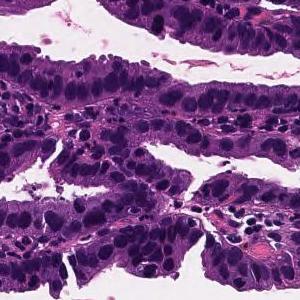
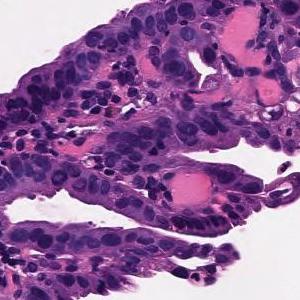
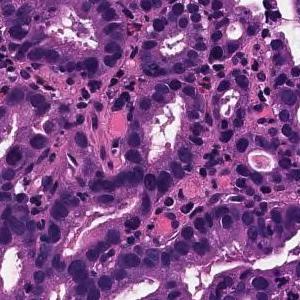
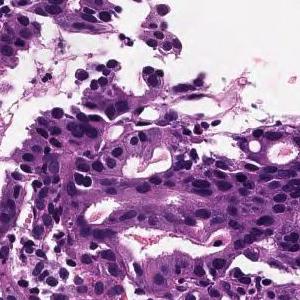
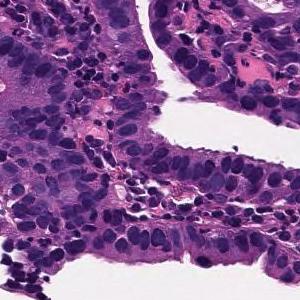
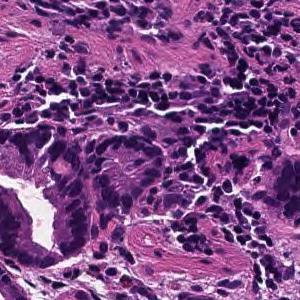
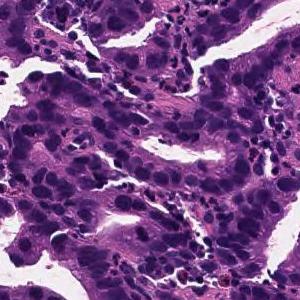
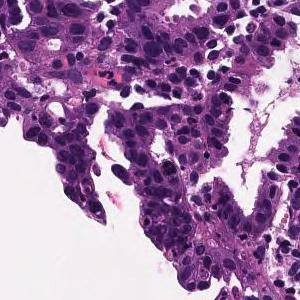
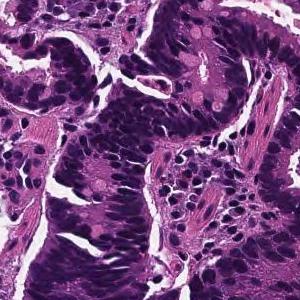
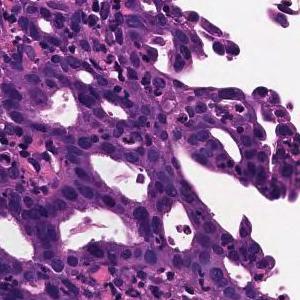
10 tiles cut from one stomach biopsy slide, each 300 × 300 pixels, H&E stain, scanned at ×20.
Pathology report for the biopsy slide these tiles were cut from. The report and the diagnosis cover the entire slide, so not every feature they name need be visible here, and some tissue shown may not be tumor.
On the superficial epithelium, tumor tissue is found in which medium-sized irregular gland ducts fuse with each other and infiltrate. moderately differentiated tubular adenocarcinoma
